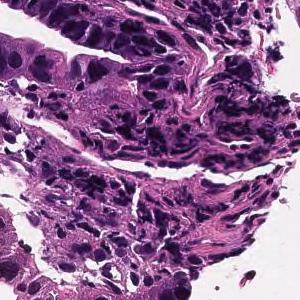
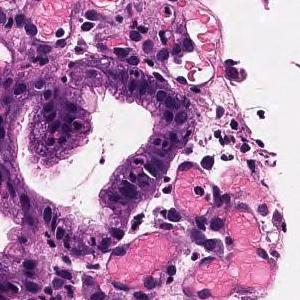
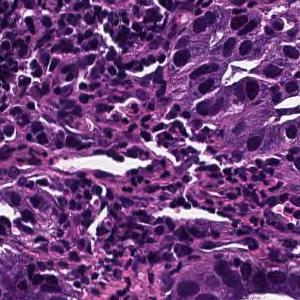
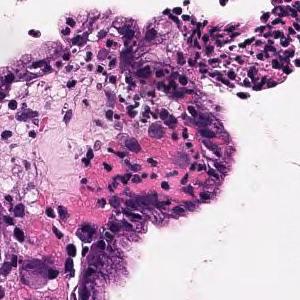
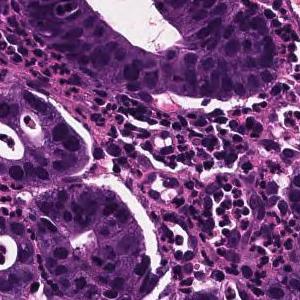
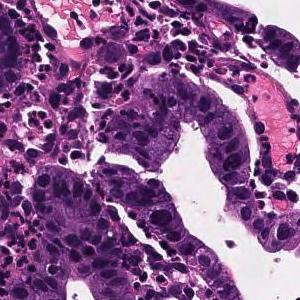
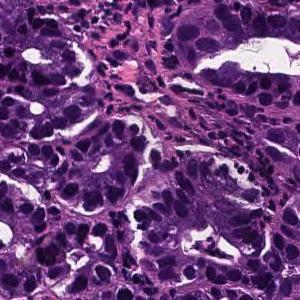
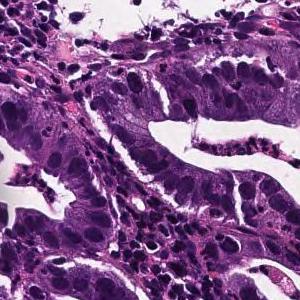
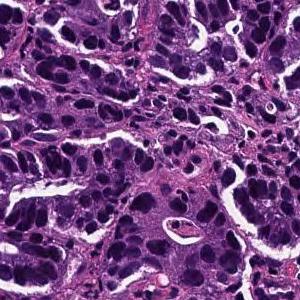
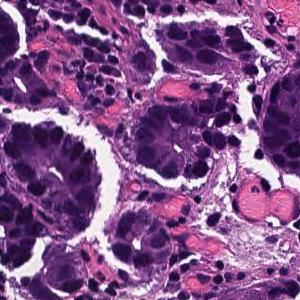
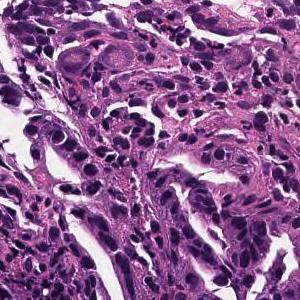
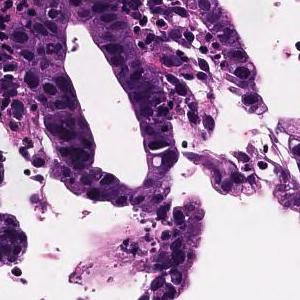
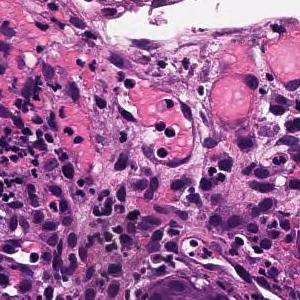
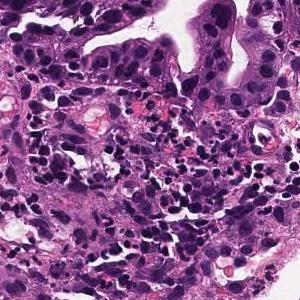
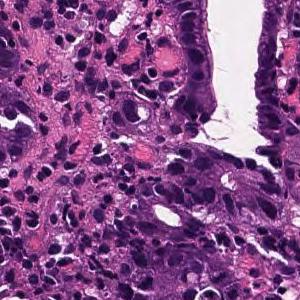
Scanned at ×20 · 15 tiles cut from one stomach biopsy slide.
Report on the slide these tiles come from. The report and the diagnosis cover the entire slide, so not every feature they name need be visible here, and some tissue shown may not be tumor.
From the superficial epithelium to the muscularis mucosae, tumor tissue consisting of medium-sized and irregular glandular ducts infiltrating is observed. Well differentiated tubular adenocarcinoma
